Scanned at ×20 · 6 tiles from the same stomach biopsy slide.
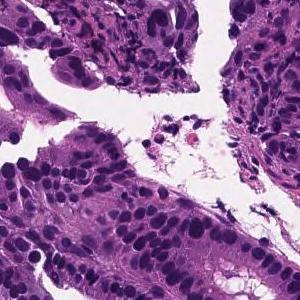
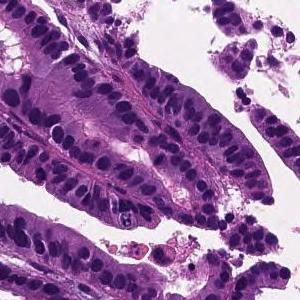
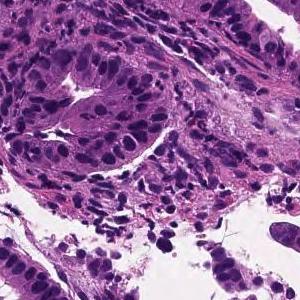
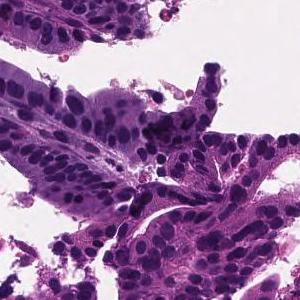
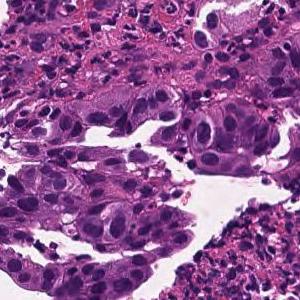
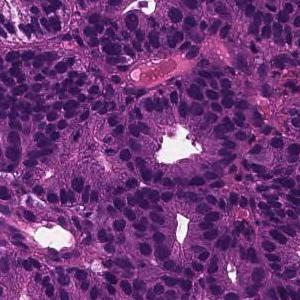
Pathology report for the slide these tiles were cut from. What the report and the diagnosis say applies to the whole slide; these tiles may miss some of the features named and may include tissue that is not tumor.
Tumor cells are large, highly columnar, large club-shaped nuclei, and are associated with chromatin aggregation. Papillary adenocarcinoma.
